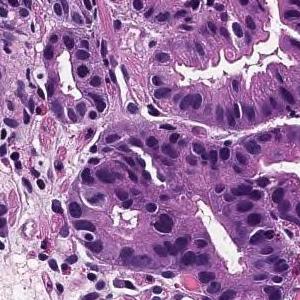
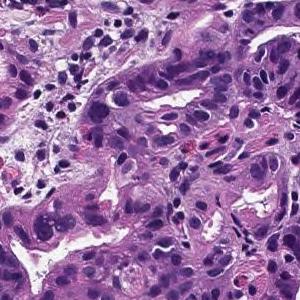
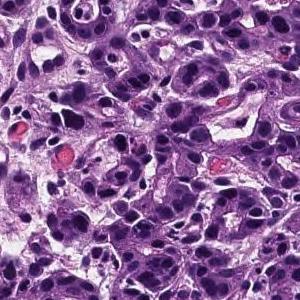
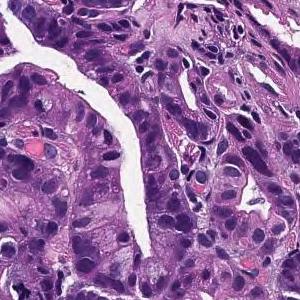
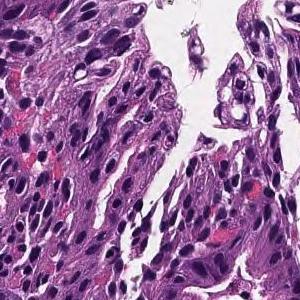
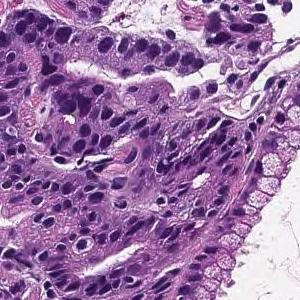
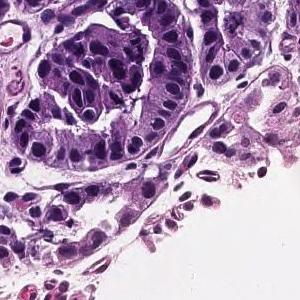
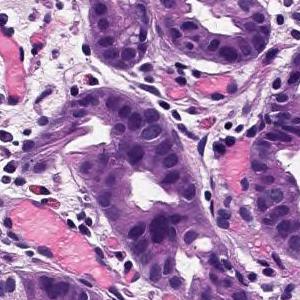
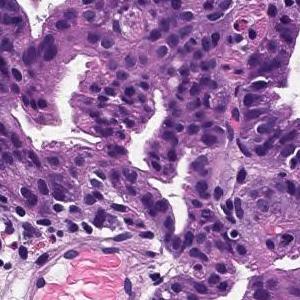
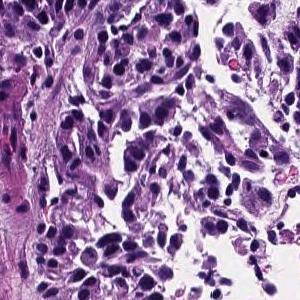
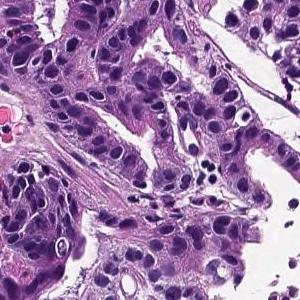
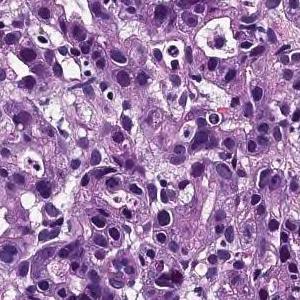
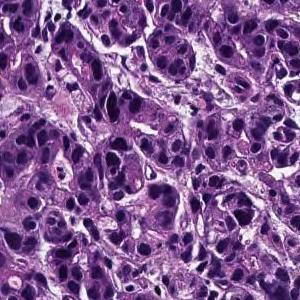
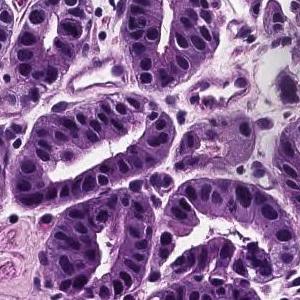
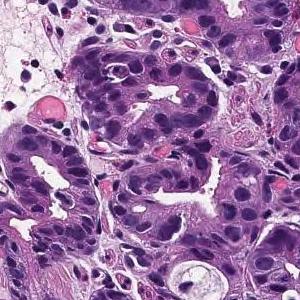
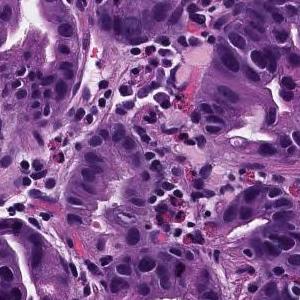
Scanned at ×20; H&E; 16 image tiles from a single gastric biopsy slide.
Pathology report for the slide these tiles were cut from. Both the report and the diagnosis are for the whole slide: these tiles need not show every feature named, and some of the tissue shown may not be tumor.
From the superficial epithelium to the muscularis mucosae, tumor tissue consisting of medium-sized and irregular glandular ducts infiltrating is observed. Well differentiated tubular adenocarcinoma
